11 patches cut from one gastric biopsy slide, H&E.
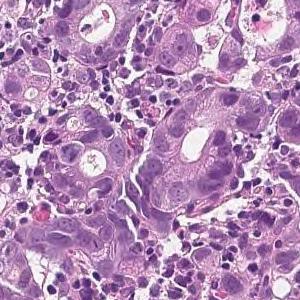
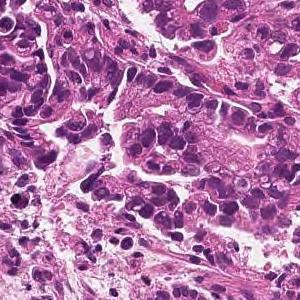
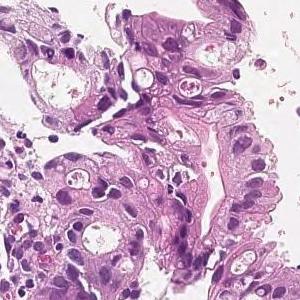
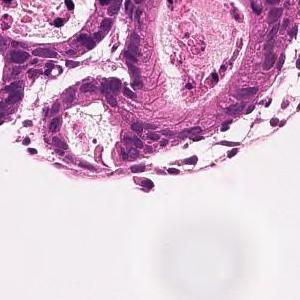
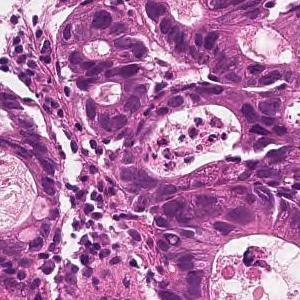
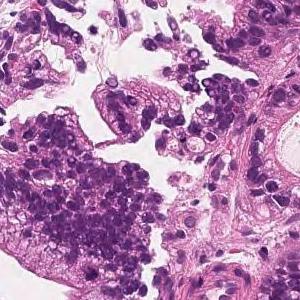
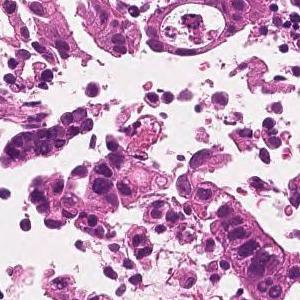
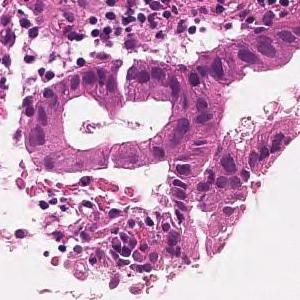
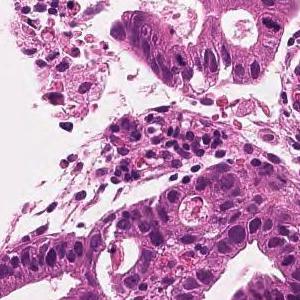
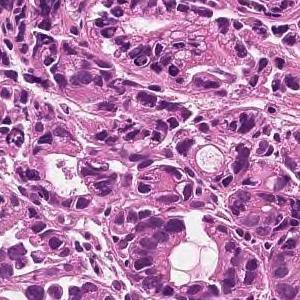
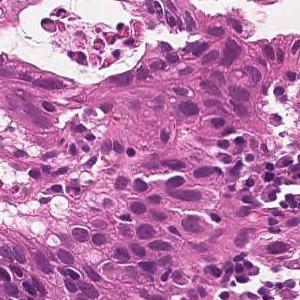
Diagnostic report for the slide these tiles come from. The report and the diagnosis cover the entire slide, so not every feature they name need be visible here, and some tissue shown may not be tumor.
On the superficial epithelium, tumor tissue is found in which medium-sized irregular gland ducts fuse with each other and infiltrate. moderately differentiated tubular adenocarcinoma
